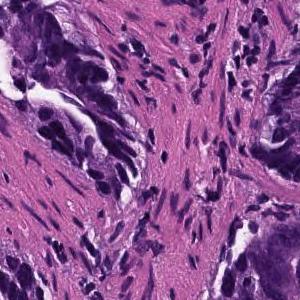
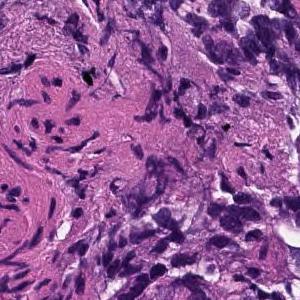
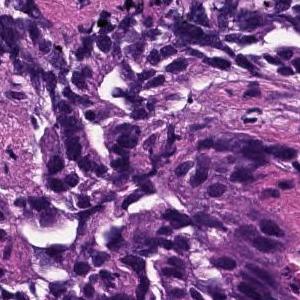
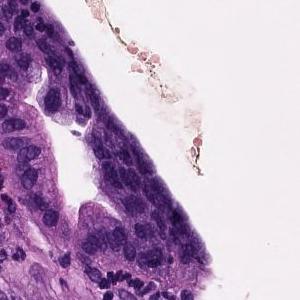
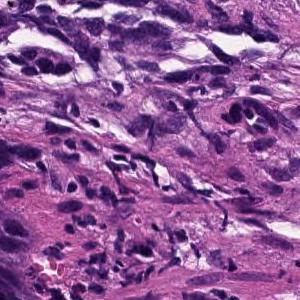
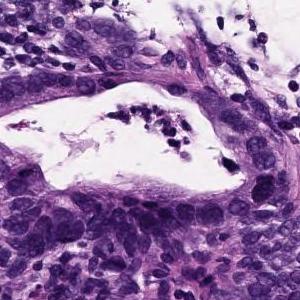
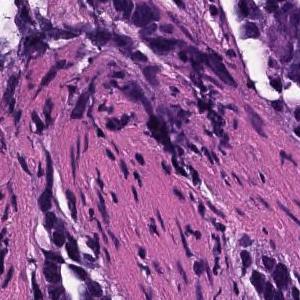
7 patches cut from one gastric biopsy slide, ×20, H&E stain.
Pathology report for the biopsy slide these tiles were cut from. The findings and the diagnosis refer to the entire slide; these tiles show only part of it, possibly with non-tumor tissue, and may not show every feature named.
In the superficial epithelium, tumor tissue that invades by forming medium-sized to small, irregular ducts is observed. Moderately differentiated adenocarcinoma.
Histological subtype: Moderately differentiated tubular adenocarcinoma.
